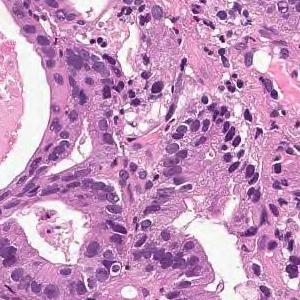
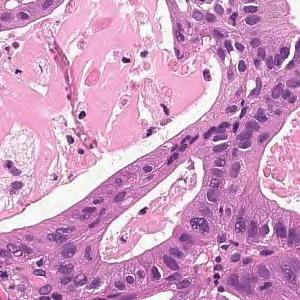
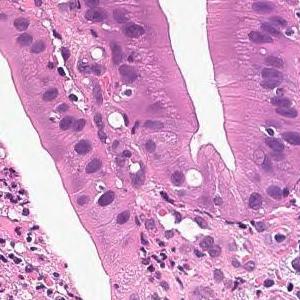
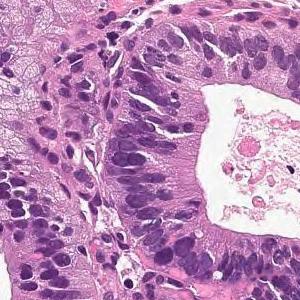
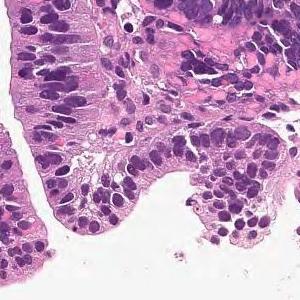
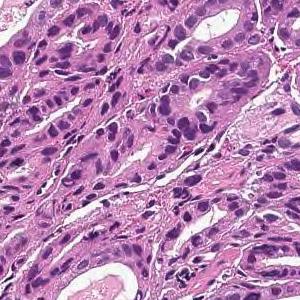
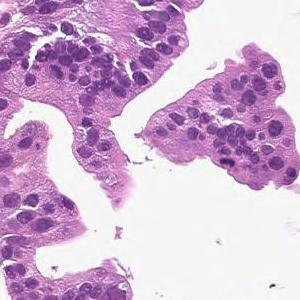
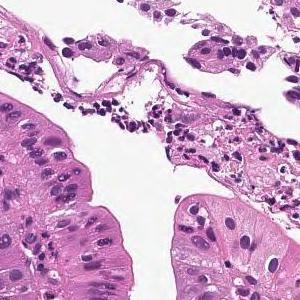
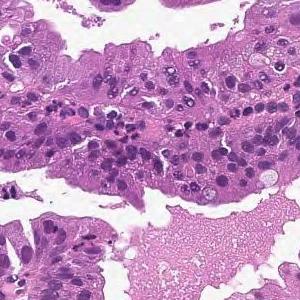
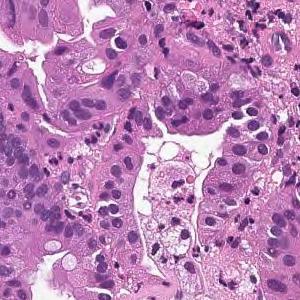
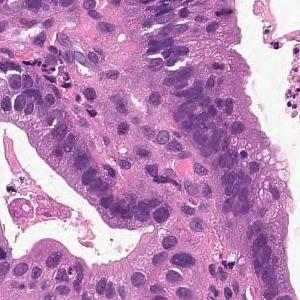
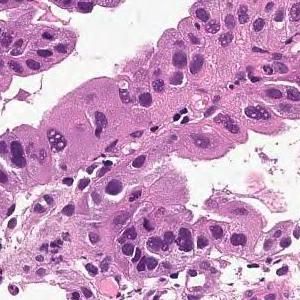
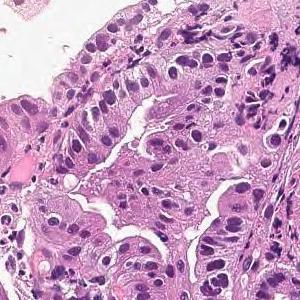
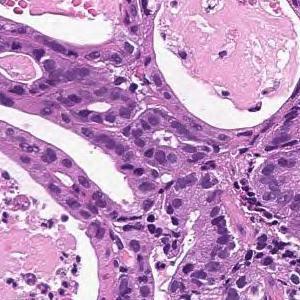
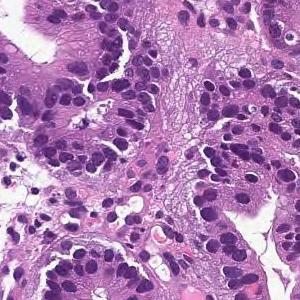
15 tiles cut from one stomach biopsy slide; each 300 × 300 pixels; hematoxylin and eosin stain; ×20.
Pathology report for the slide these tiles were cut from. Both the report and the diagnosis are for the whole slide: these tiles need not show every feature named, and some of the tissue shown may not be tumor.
From the superficial epithelium to the muscularis mucosae, tumor tissue consisting of medium-sized and irregular glandular ducts infiltrating is observed. Well differentiated tubular adenocarcinoma
